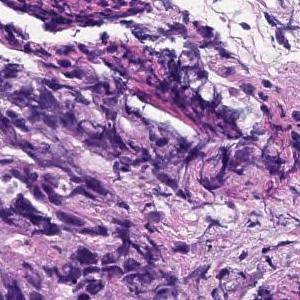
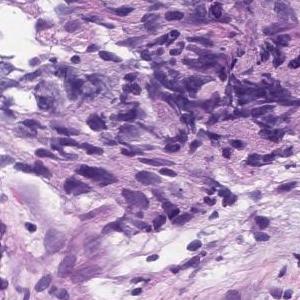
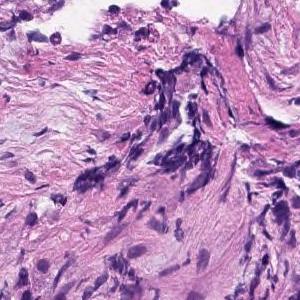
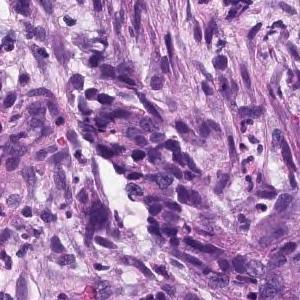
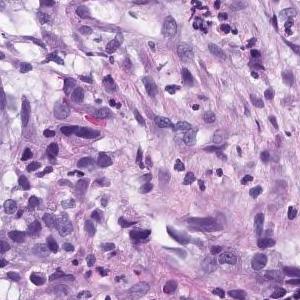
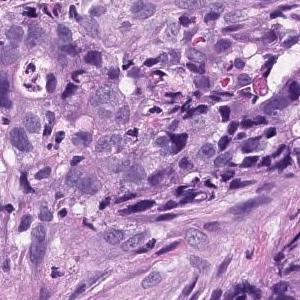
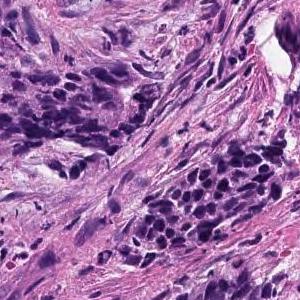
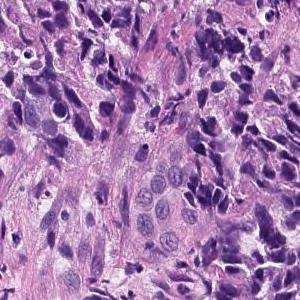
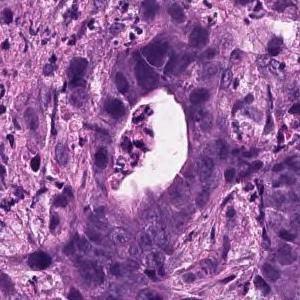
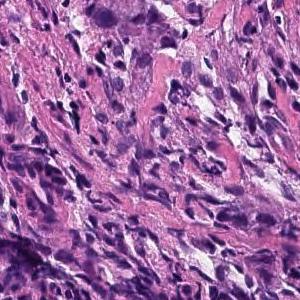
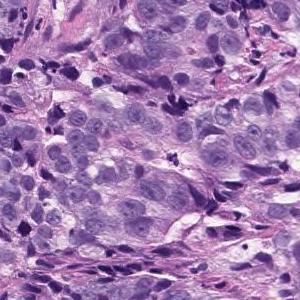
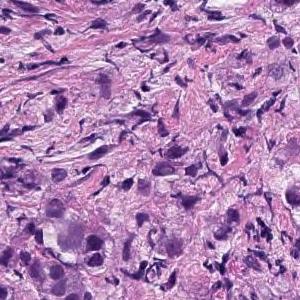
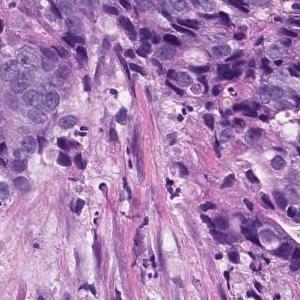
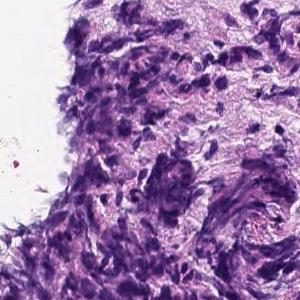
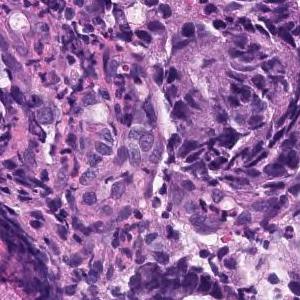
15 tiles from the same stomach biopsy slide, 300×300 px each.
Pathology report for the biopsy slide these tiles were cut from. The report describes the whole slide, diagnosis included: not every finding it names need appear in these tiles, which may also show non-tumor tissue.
Medium to small, irregular glandular ducts are formed in the superficial epithelium, and in some cases, the glandular ducts are fused to show solid alveolar lesions and infiltrating tumor tissue is observed. Moderately to poorly differentiated adenocarcinoma.
